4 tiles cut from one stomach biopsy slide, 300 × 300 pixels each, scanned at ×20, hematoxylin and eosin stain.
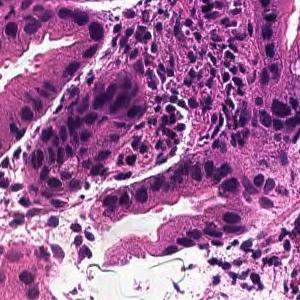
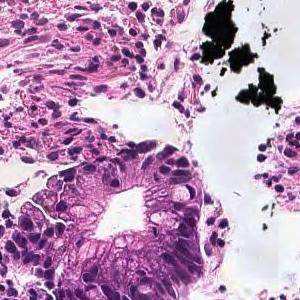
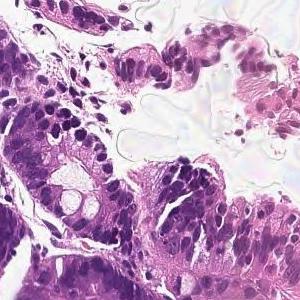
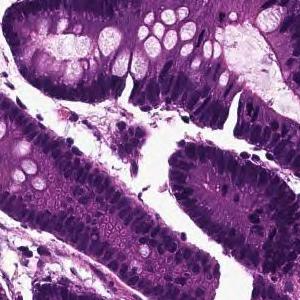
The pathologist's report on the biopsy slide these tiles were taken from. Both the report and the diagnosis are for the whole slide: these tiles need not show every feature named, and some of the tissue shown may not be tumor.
From the superficial epithelium to the muscularis mucosae, tumor tissue consisting of medium-sized and irregular glandular ducts infiltrating is observed. Well differentiated tubular adenocarcinoma
